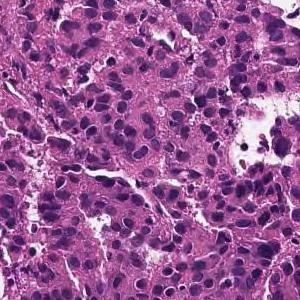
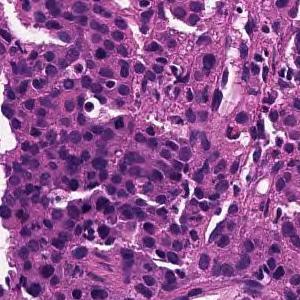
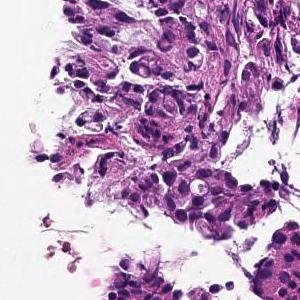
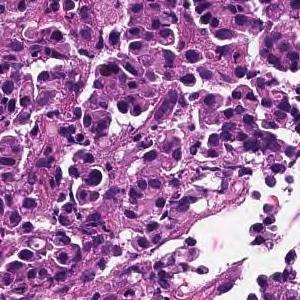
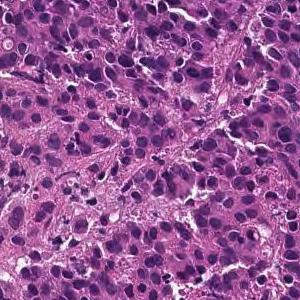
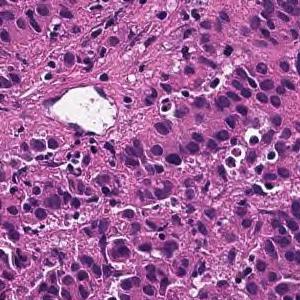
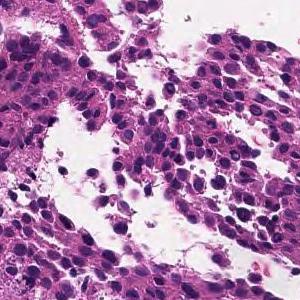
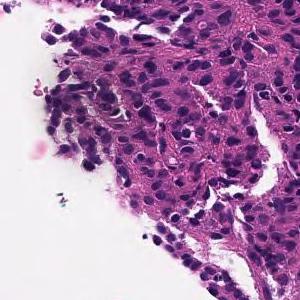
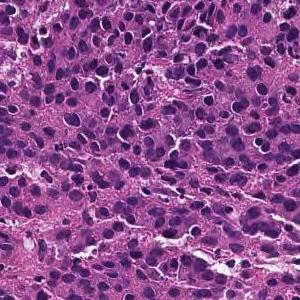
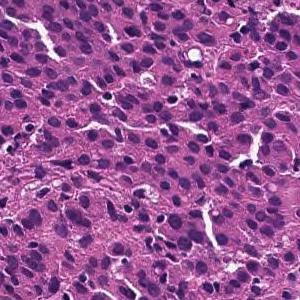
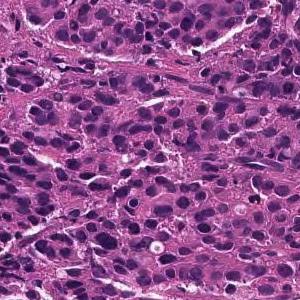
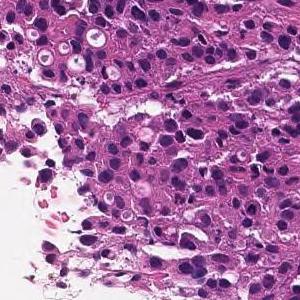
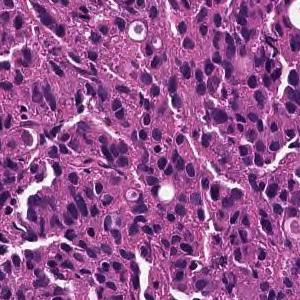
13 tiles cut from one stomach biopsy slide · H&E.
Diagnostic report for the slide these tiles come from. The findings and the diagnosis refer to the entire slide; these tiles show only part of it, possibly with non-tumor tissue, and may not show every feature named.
The superficial epithelium shows a large sheet-like shape, and some tumor tissue infiltrates with small irregular ducts. Poorly differentiated adenocarcinoma, solid-type
Subtype: Poorly differentiated adenocarcinoma, solid type, a category of the Japanese Classification of Gastric Carcinoma; in the WHO 2019 classification it is tubular adenocarcinoma, poorly differentiated.
